H&E stain · 12 image tiles from a single gastric biopsy slide.
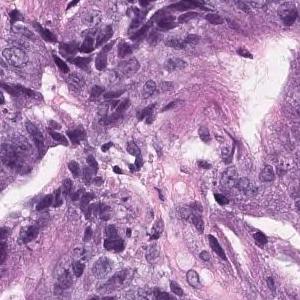
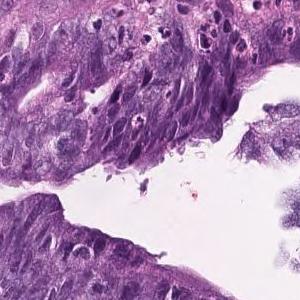
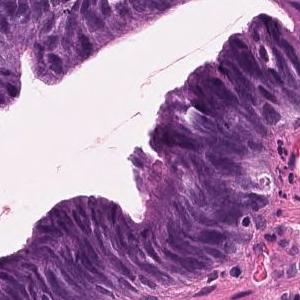
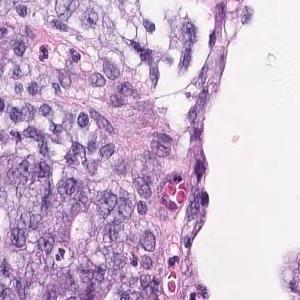
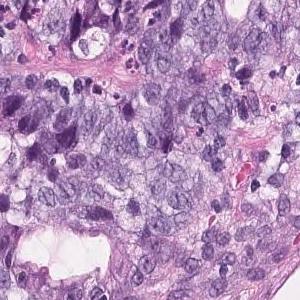
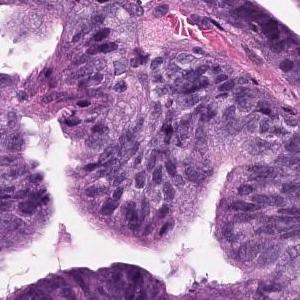
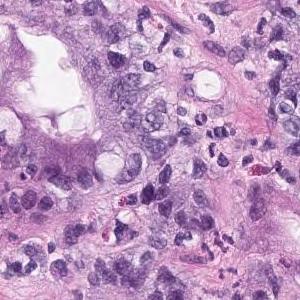
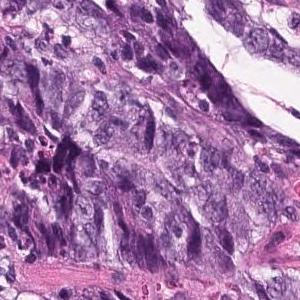
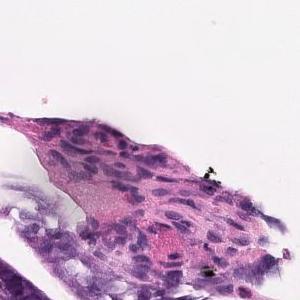
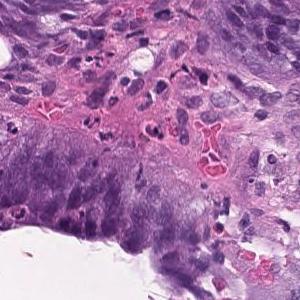
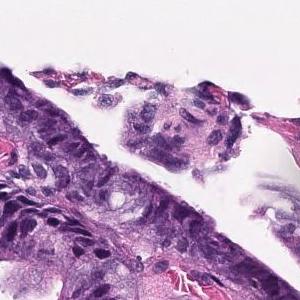
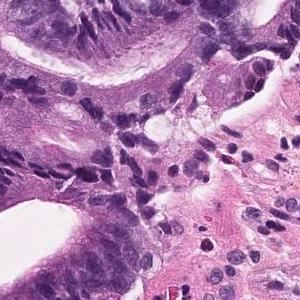
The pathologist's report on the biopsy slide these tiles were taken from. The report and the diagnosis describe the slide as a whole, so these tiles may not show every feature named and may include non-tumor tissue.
Large atypical epithelial cells with swollen atypical nuclei are seen proliferating into a tubular fusion gland. moderately differentiated tubular adenocarcinoma
